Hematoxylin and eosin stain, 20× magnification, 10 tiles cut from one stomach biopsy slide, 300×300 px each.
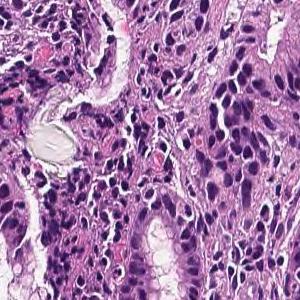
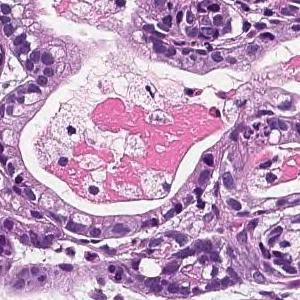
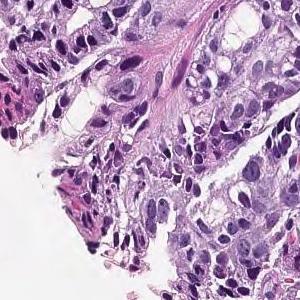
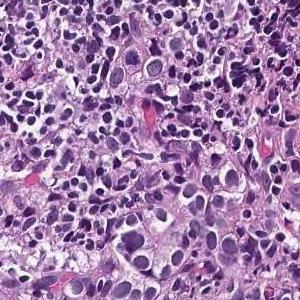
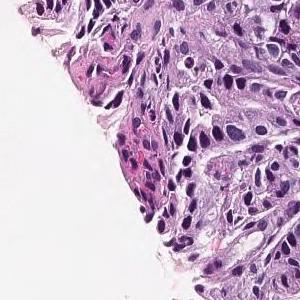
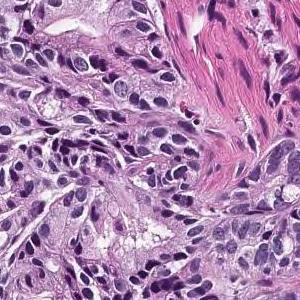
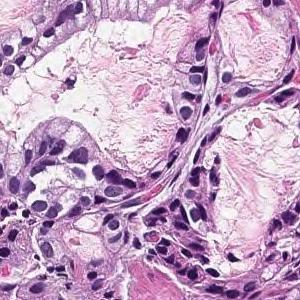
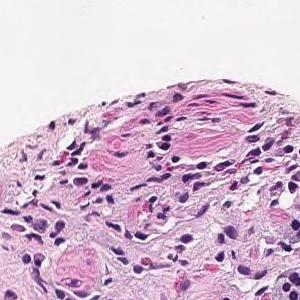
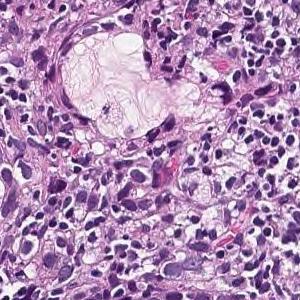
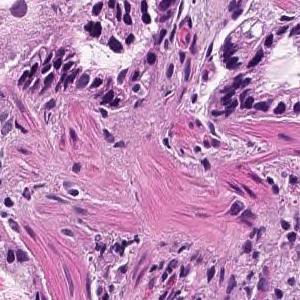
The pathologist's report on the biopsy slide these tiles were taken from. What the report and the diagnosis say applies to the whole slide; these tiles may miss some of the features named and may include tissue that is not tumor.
From the superficial epithelium to the muscularis mucosae, tumor tissue consisting of medium-sized and irregular glandular ducts infiltrating is observed. Well differentiated tubular adenocarcinoma
